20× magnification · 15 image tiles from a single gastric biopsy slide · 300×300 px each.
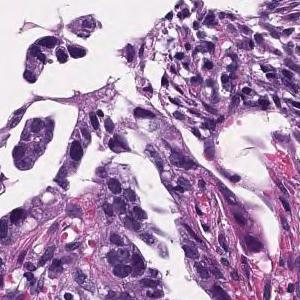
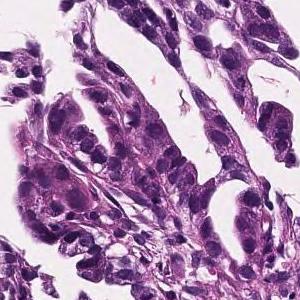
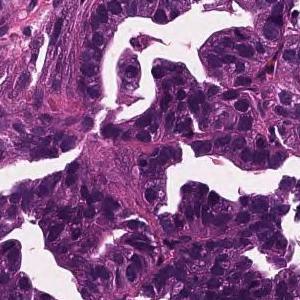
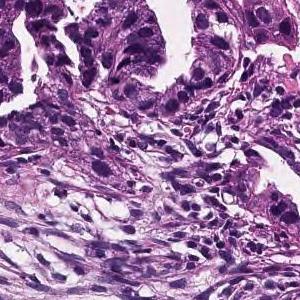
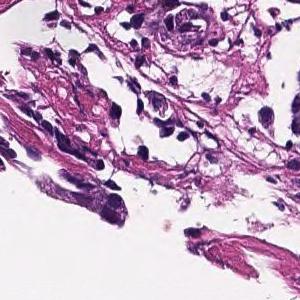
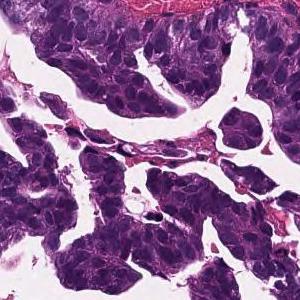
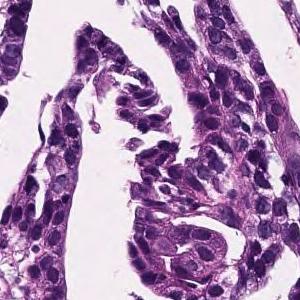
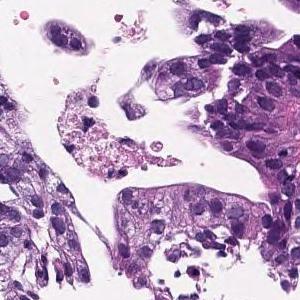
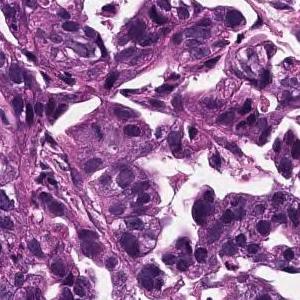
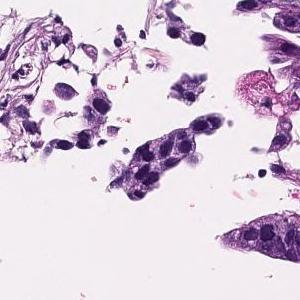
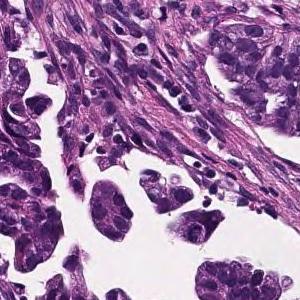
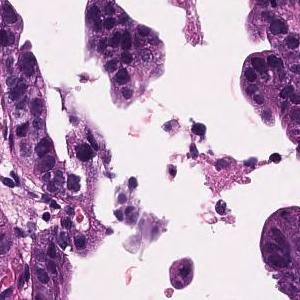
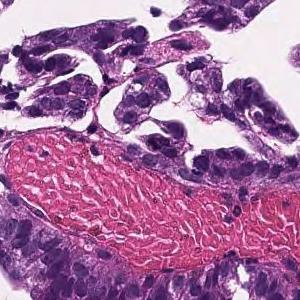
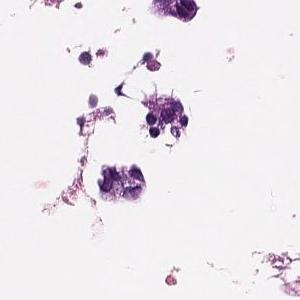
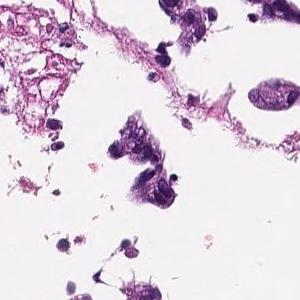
Diagnostic report for the slide these tiles come from. The report and the diagnosis cover the entire slide, so not every feature they name need be visible here, and some tissue shown may not be tumor.
In the lamina propria, tumor tissue that invades by forming medium-sized to small, irregular glandular ducts is observed. moderately differentiated tubular adenocarcinoma
